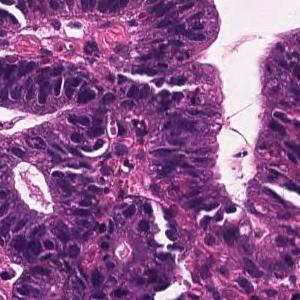
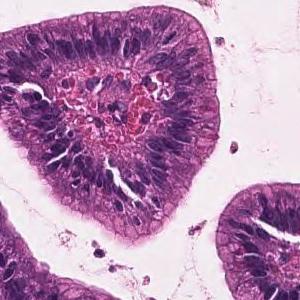
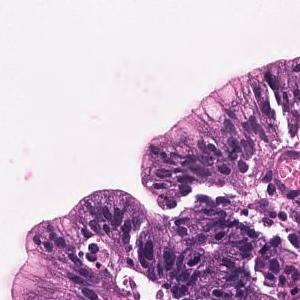
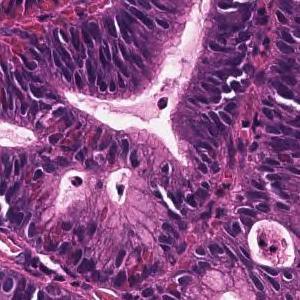
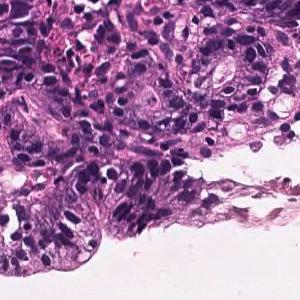
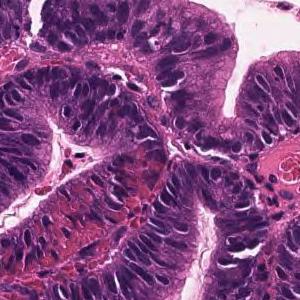
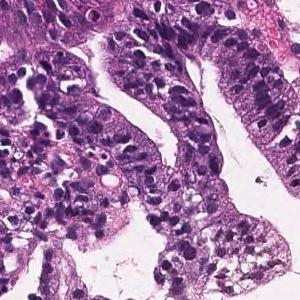
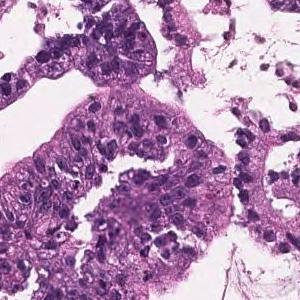
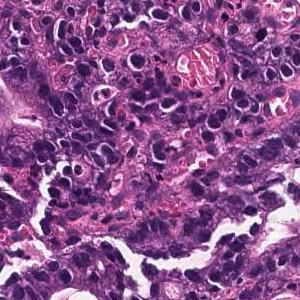
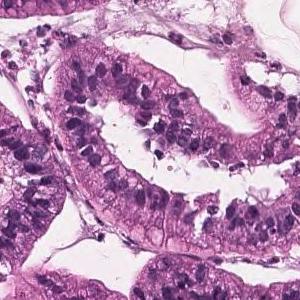
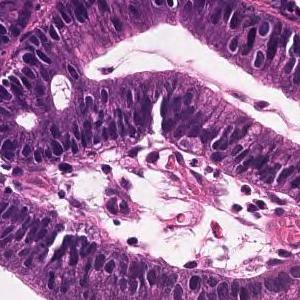
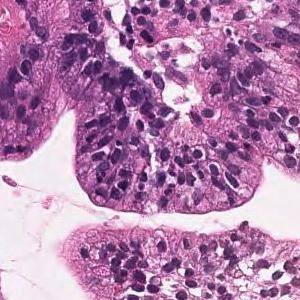
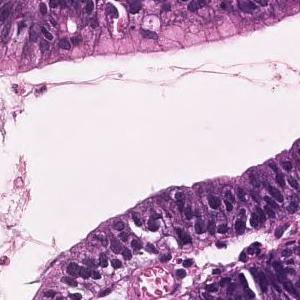
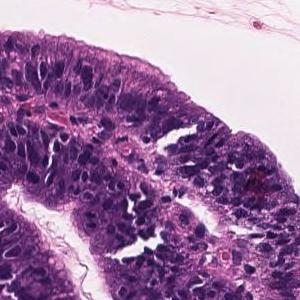
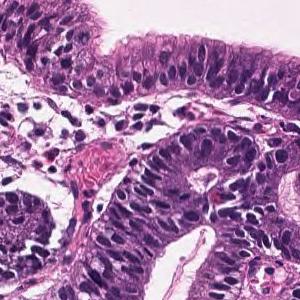
15 patches cut from one gastric biopsy slide · 300 × 300 pixels each · H&E stain · ×20.
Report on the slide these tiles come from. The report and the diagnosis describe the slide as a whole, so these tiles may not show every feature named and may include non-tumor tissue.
On the superficial epithelium, tumor tissue that infiltrates by forming medium-sized papillary or small irregular ducts is observed. Papillary adenocarcinoma
